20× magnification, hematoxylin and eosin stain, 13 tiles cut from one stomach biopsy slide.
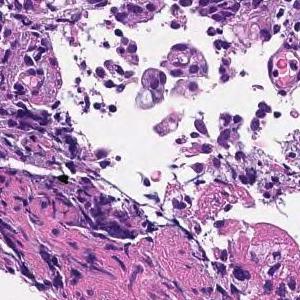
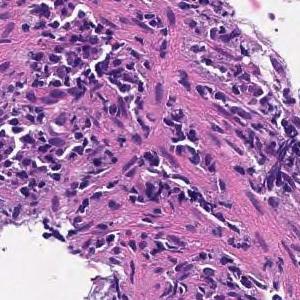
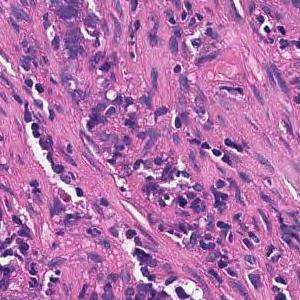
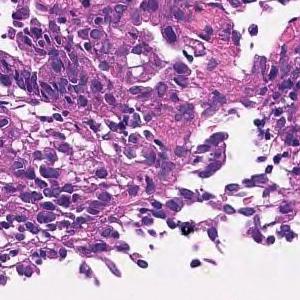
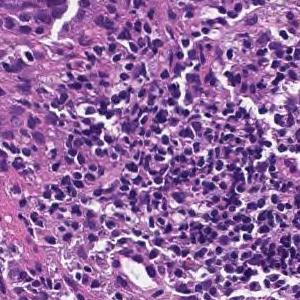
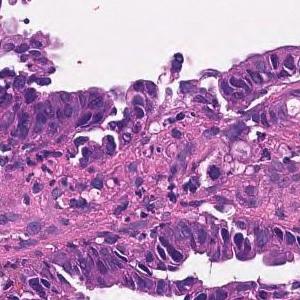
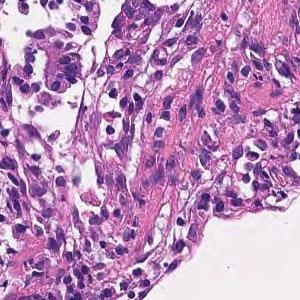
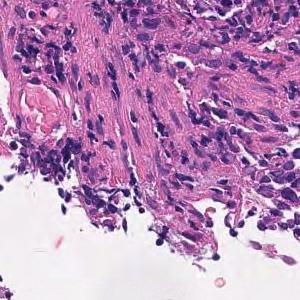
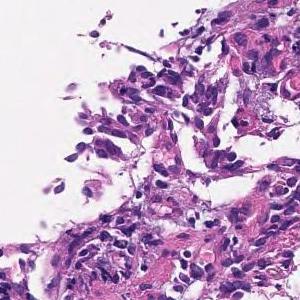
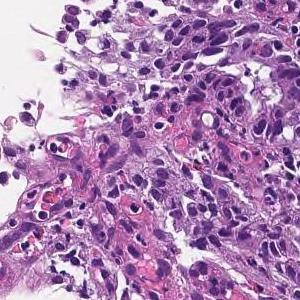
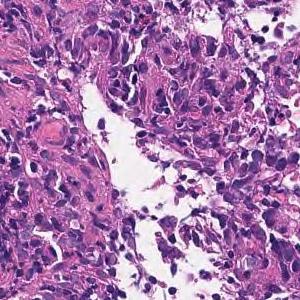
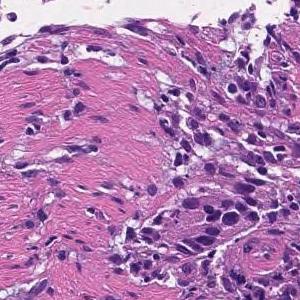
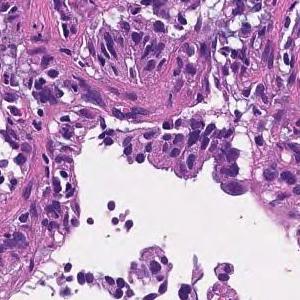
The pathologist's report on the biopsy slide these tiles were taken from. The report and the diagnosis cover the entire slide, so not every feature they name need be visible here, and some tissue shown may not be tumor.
On the superficial epithelium, tumor tissue consisting of large, irregular glandular ducts partially fused and infiltrated is observed. Well to moderately differentiated tubular adenocarcinoma (well differentiated tubular adenocarcinoma, moderately differentiated tubular adenocarcinoma)
Histological subtype: Well to moderately differentiated tubular adenocarcinoma.
